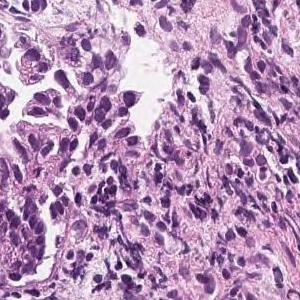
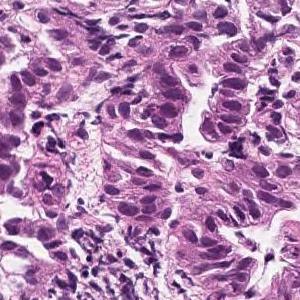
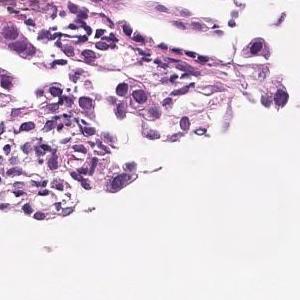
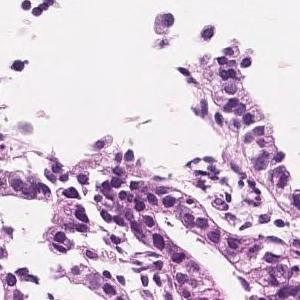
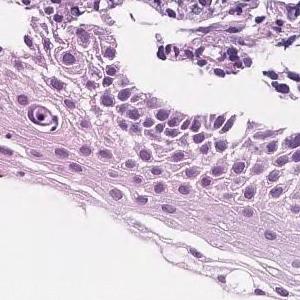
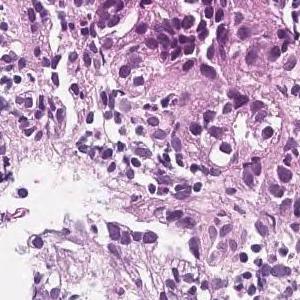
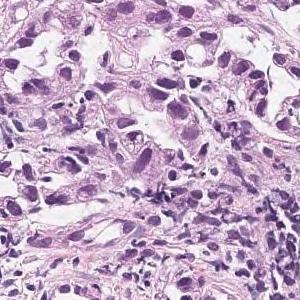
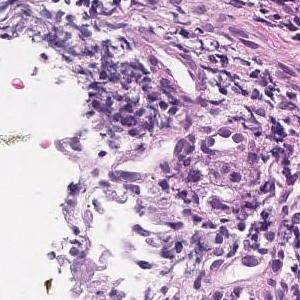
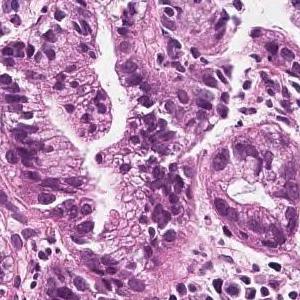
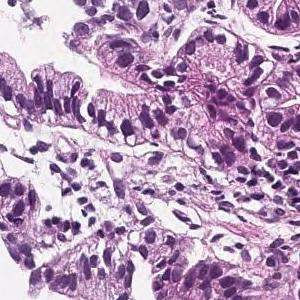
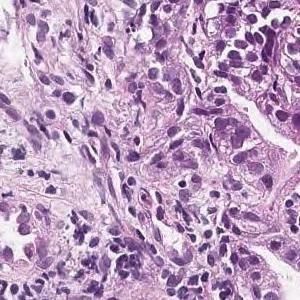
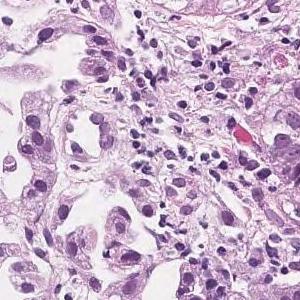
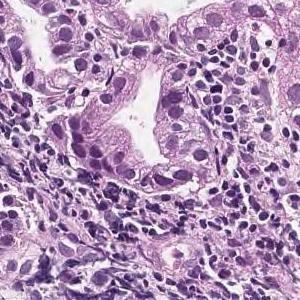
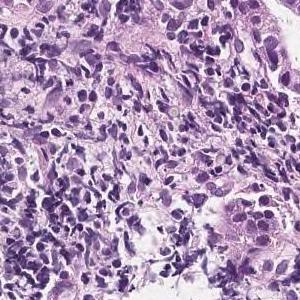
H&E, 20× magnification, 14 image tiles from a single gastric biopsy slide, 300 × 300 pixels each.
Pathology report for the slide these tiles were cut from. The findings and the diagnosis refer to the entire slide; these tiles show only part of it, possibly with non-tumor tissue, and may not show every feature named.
In the superficial epithelium, tumor tissue that invades by forming medium-sized to small, irregular ducts is observed. moderately differentiated tubular adenocarcinoma.
